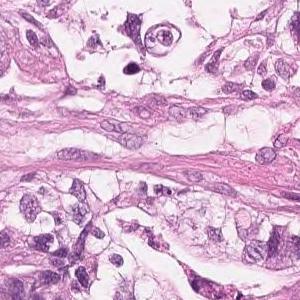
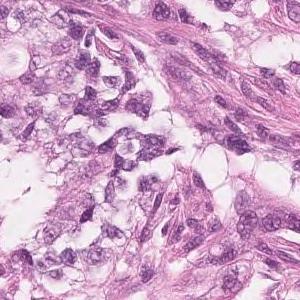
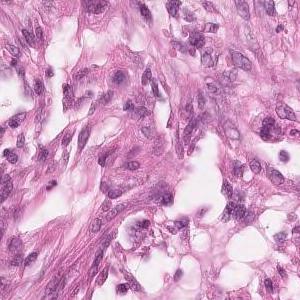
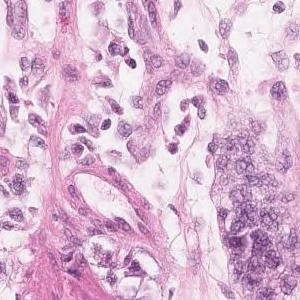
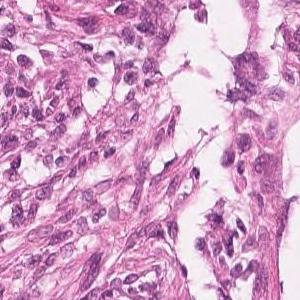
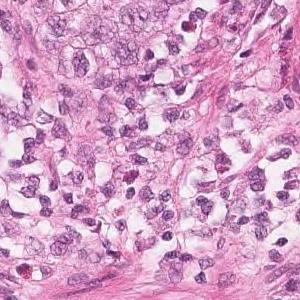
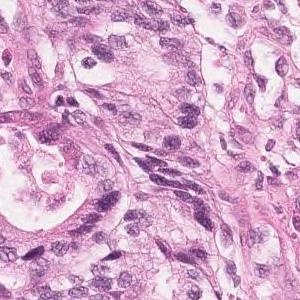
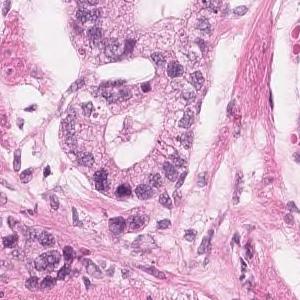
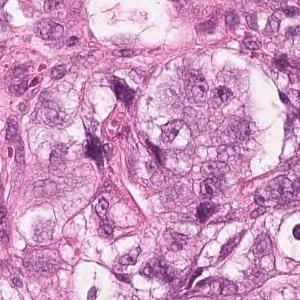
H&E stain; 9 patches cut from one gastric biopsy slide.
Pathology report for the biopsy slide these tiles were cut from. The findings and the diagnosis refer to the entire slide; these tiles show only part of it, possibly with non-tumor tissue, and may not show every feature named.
Highly columnar epithelium with disordered nuclear localization proliferates showing fusion ductal construction. moderately differentiated tubular adenocarcinoma
